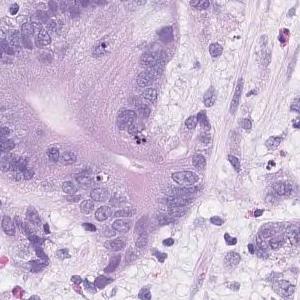
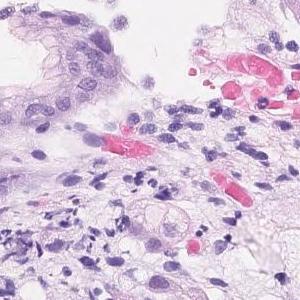
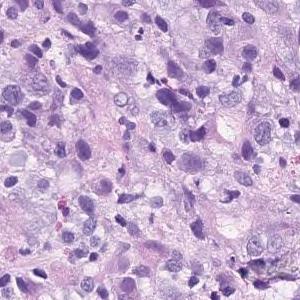
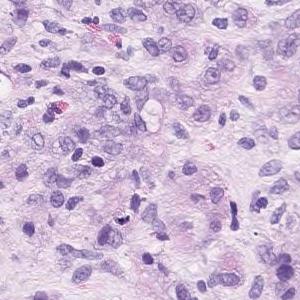
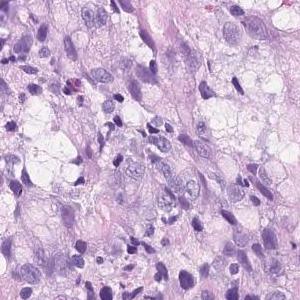
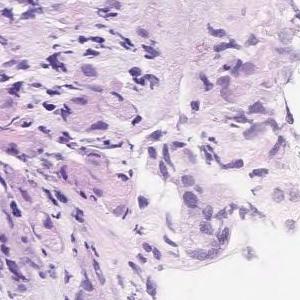
6 image tiles from a single gastric biopsy slide · 300 × 300 pixels each · H&E stain.
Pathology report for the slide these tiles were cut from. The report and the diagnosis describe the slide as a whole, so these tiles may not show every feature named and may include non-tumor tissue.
Group 5, Adenocarcinoma. Poorly differentiated adenocarcinoma, non-solid type
"Non-solid type" is a category of the Japanese Classification of Gastric Carcinoma.
